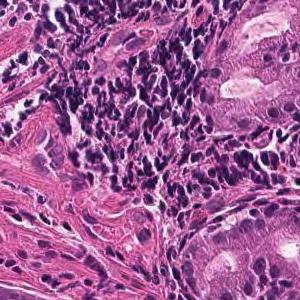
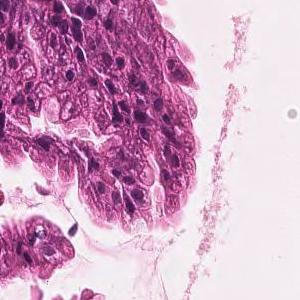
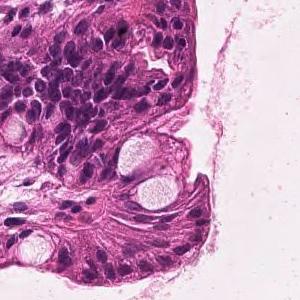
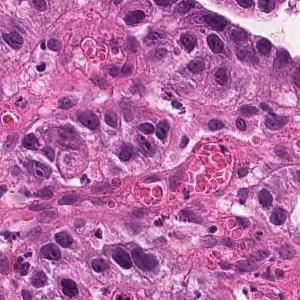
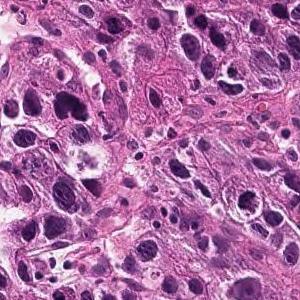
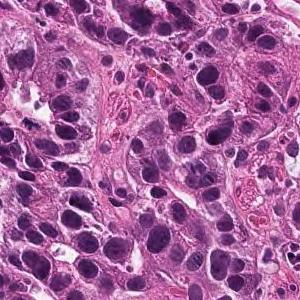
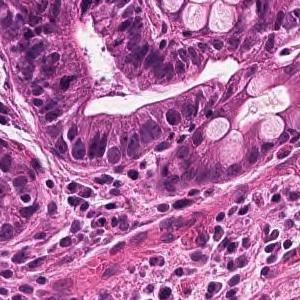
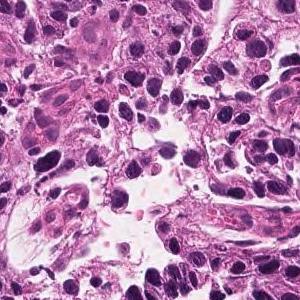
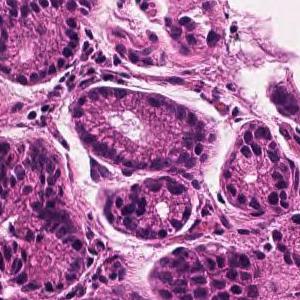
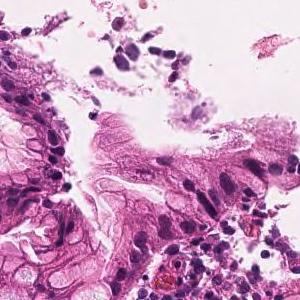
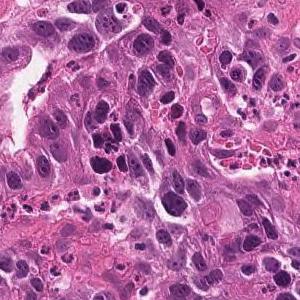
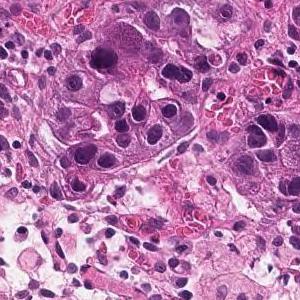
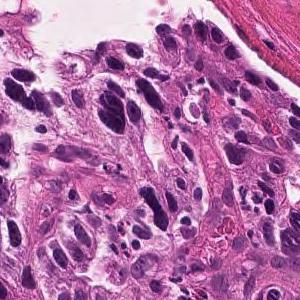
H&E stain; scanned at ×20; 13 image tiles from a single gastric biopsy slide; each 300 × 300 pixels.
Pathology report for the slide these tiles were cut from. The report describes the whole slide, diagnosis included: not every finding it names need appear in these tiles, which may also show non-tumor tissue.
Tumor tissue consisting of medium-sized, cord-like or irregular glandular infiltration is observed in the superficial epithelium. Poorly differentiated adenocarcinoma, non-solid type or moderately differentiated tubular adenocarcinoma
Histological subtype: Moderately to poorly differentiated adenocarcinoma.
"Non-solid type" is a category of the Japanese Classification of Gastric Carcinoma.
